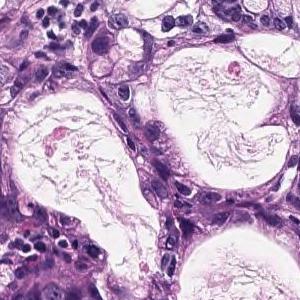
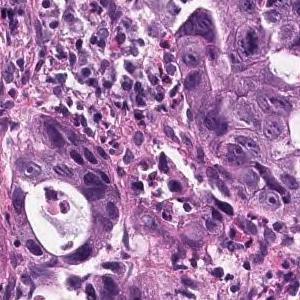
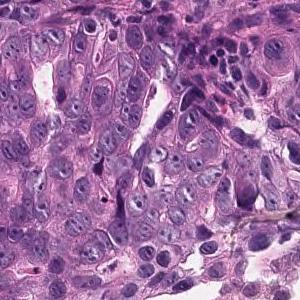
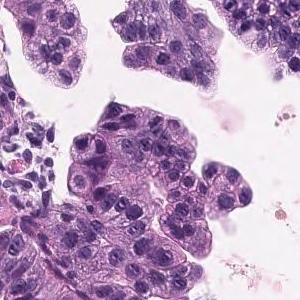
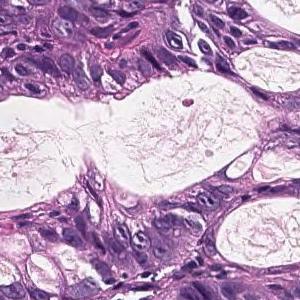
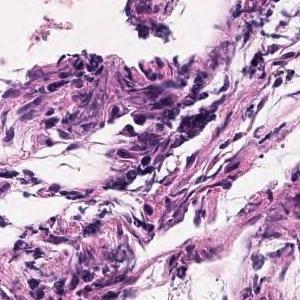
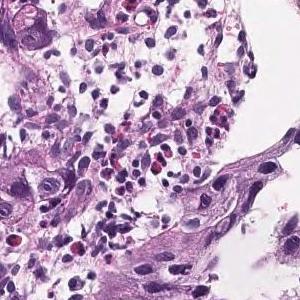
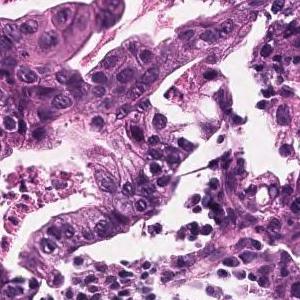
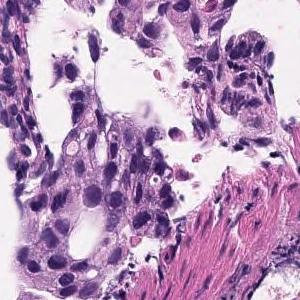
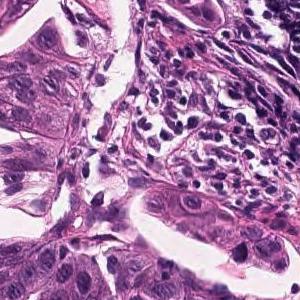
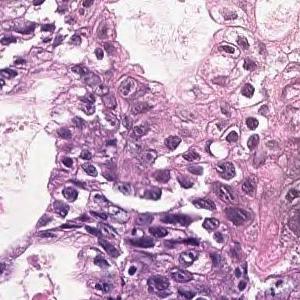
11 patches cut from one gastric biopsy slide; each 300 × 300 pixels; ×20; H&E.
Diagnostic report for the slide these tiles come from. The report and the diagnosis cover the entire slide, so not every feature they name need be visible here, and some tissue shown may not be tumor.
Tumor cells are large, highly columnar, large club-shaped nuclei, and are associated with chromatin aggregation. Papillary adenocarcinoma.
